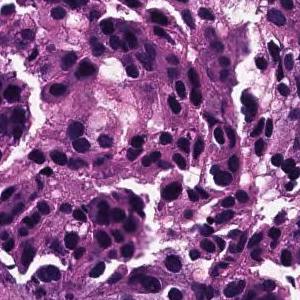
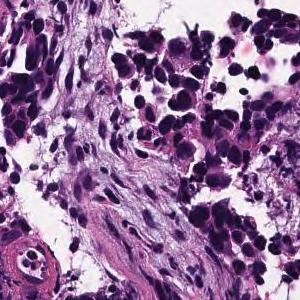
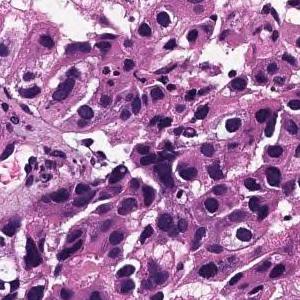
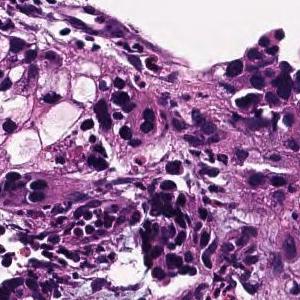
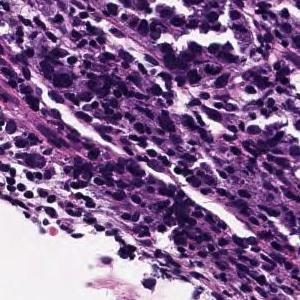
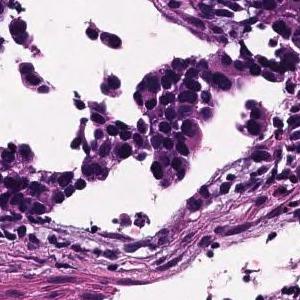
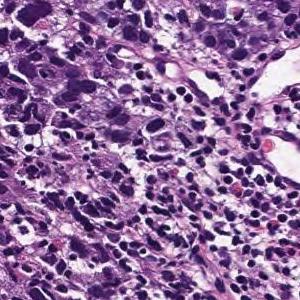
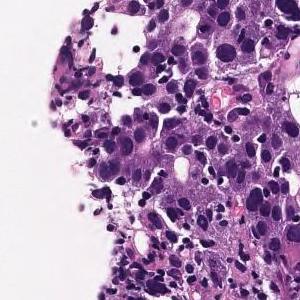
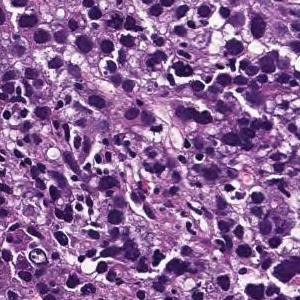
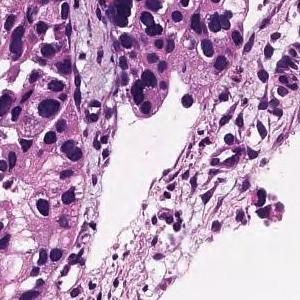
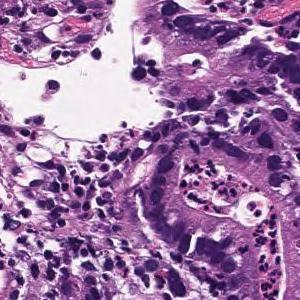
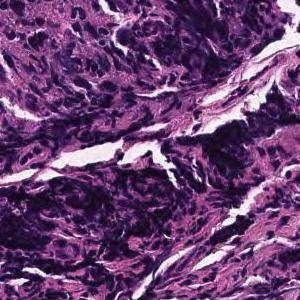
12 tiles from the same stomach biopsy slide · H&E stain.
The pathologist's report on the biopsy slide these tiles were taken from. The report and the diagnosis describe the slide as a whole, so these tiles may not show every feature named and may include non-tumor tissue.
Medium to small, irregular glandular ducts are formed in the superficial epithelium, and in some cases, the glandular ducts are fused to show solid alveolar lesions and infiltrating tumor tissue is observed. Moderately to poorly differentiated adenocarcinoma.
